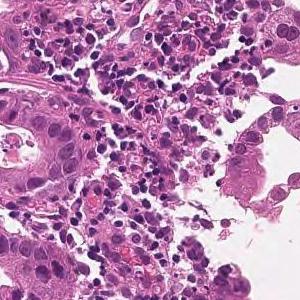
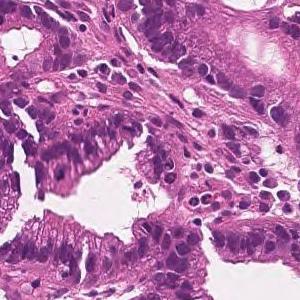
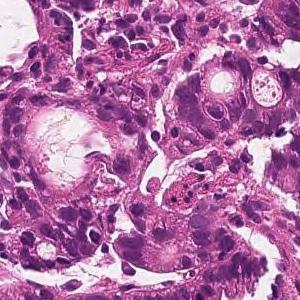
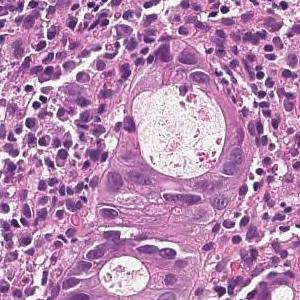
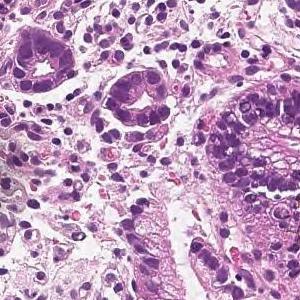
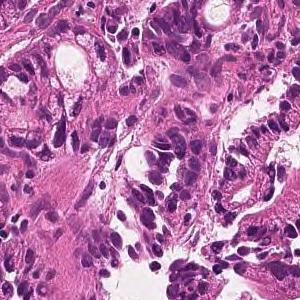
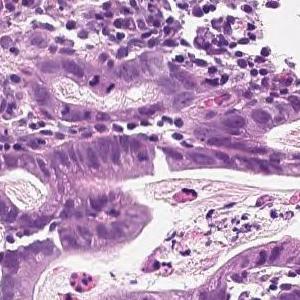
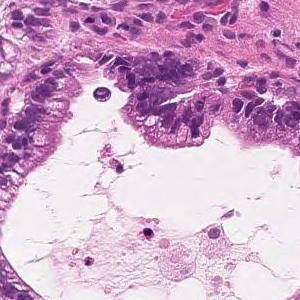
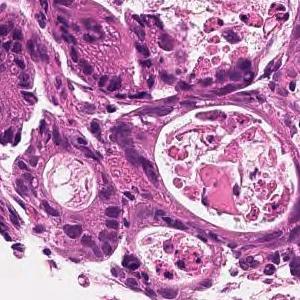
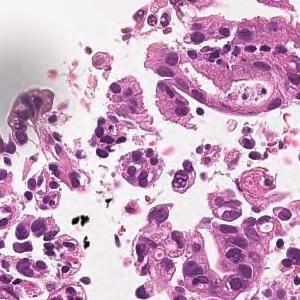
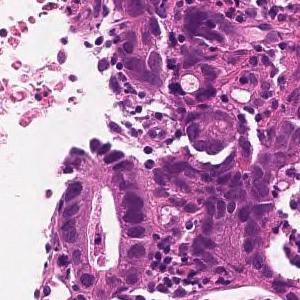
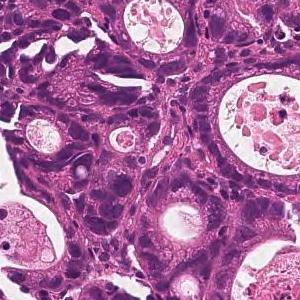
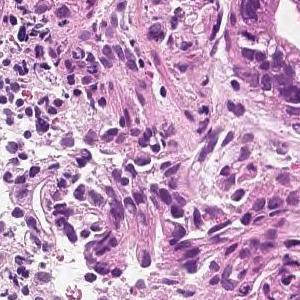
13 image tiles from a single gastric biopsy slide, 300×300 px each, hematoxylin and eosin stain.
Pathology report for the biopsy slide these tiles were cut from. The report and the diagnosis cover the entire slide, so not every feature they name need be visible here, and some tissue shown may not be tumor.
On the superficial epithelium, tumor tissue is found in which medium-sized irregular gland ducts fuse with each other and infiltrate. moderately differentiated tubular adenocarcinoma
